H&E, ×20, 15 patches cut from one gastric biopsy slide, 300 × 300 pixels each.
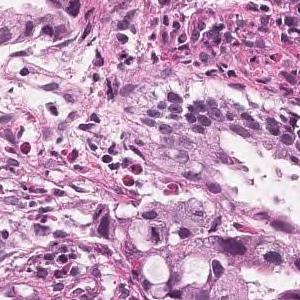
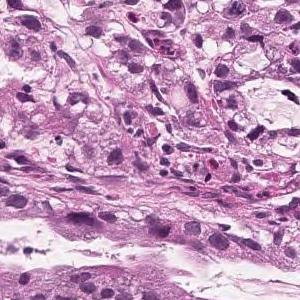
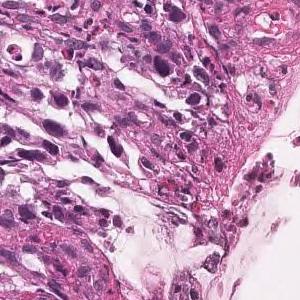
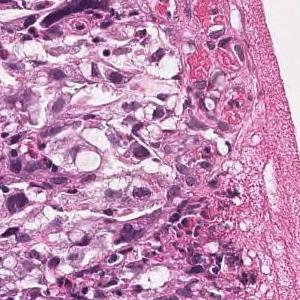
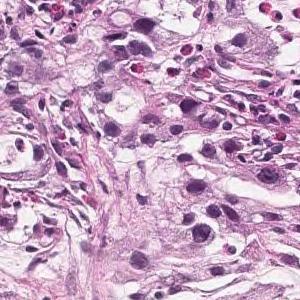
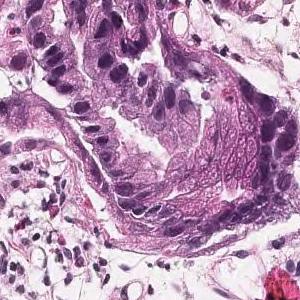
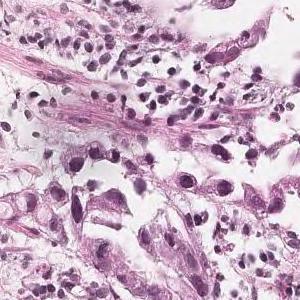
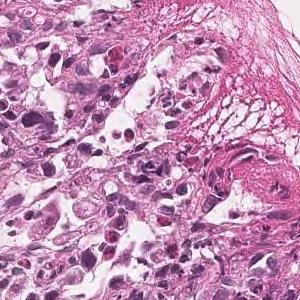
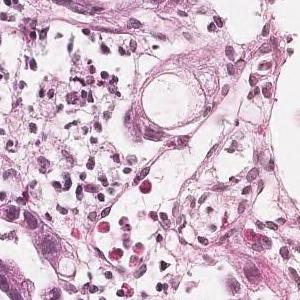
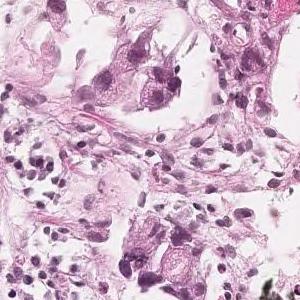
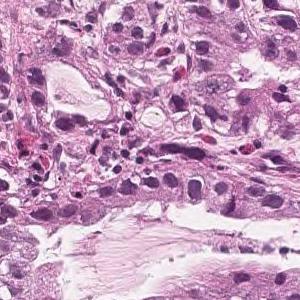
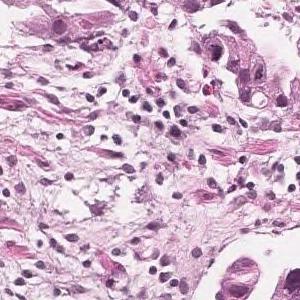
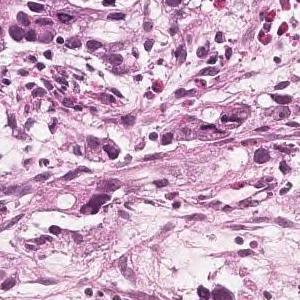
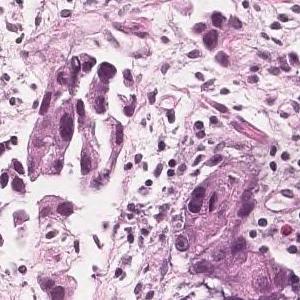
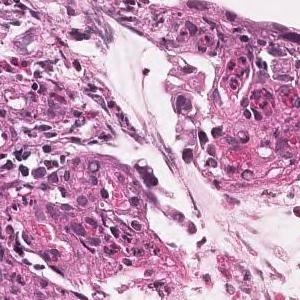
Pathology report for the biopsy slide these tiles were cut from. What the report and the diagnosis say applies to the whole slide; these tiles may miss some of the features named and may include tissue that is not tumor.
Tumor tissue consisting of medium-sized, cord-like or irregular glandular infiltration is observed in the superficial epithelium. Poorly differentiated adenocarcinoma, non-solid type or moderately differentiated tubular adenocarcinoma
The non-solid type named here is a Japanese Classification of Gastric Carcinoma category.
